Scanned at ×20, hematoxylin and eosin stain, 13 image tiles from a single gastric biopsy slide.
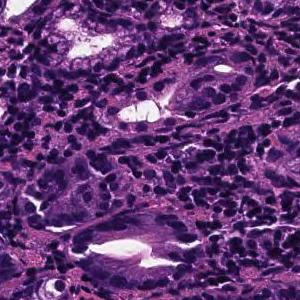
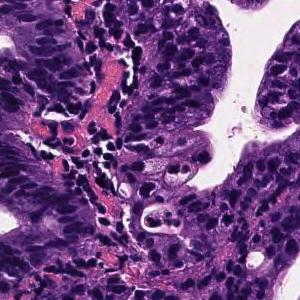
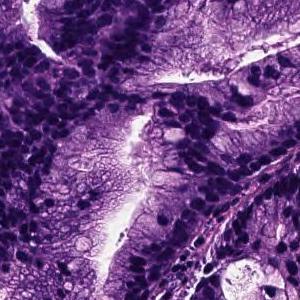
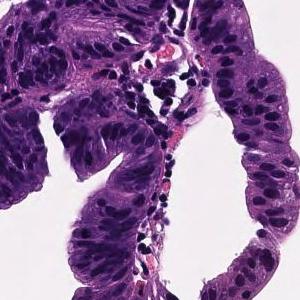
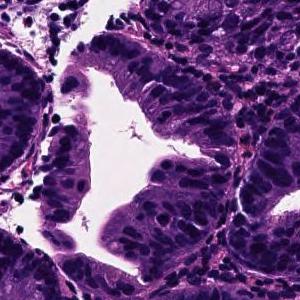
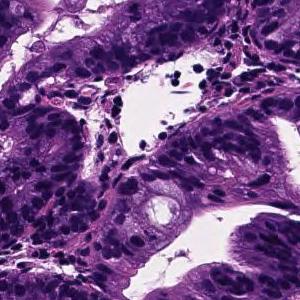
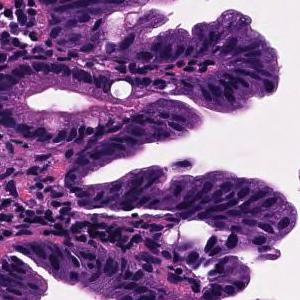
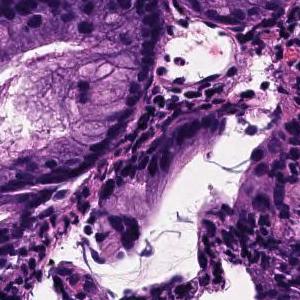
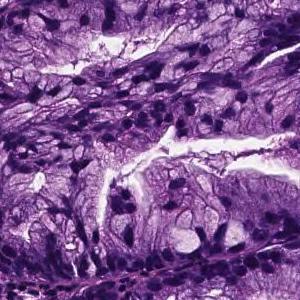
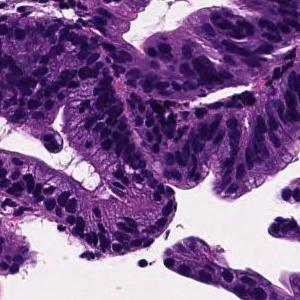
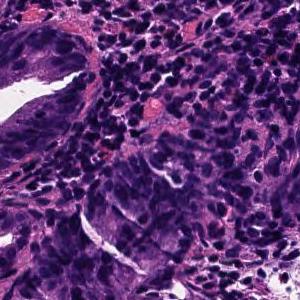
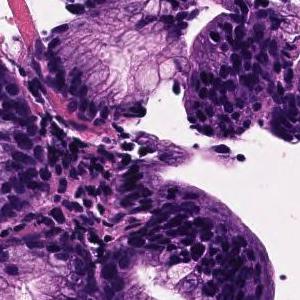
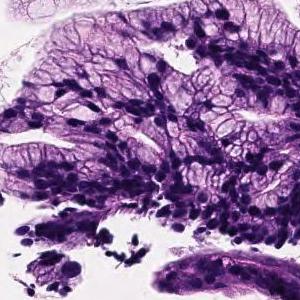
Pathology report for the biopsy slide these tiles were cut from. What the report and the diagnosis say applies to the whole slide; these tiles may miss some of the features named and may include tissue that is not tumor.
On the superficial epithelium, tumor tissue that infiltrates by forming medium-sized papillary or small irregular ducts is observed. Papillary adenocarcinoma
